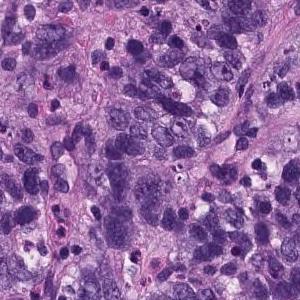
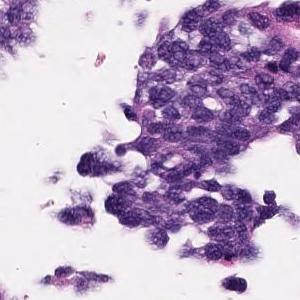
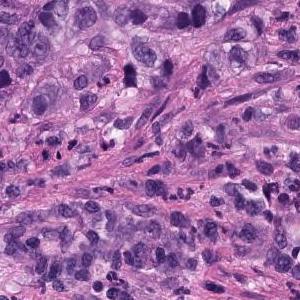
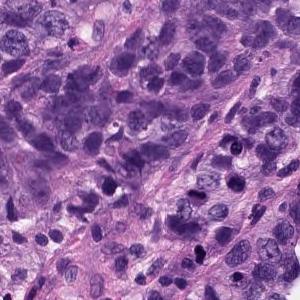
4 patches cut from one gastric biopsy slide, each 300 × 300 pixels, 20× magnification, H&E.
Diagnostic report for the slide these tiles come from. What the report and the diagnosis say applies to the whole slide; these tiles may miss some of the features named and may include tissue that is not tumor.
Atypical l cells with atypical nuclei under the mucosa growing in isolation and scattered. Poorly differentiated adenocarcinoma (poorly differentiated adenocarcinoma, non-solid type)
Histological subtype: Poorly differentiated adenocarcinoma, non-solid type.
The term "non-solid type" comes from the Japanese Classification of Gastric Carcinoma.
